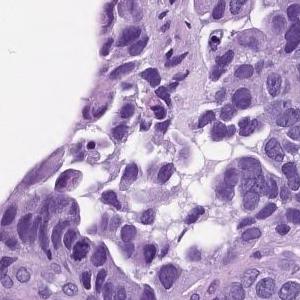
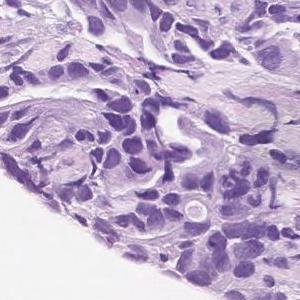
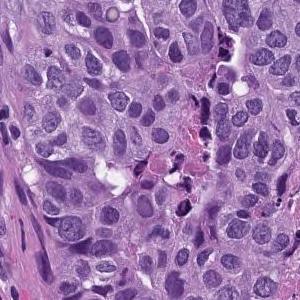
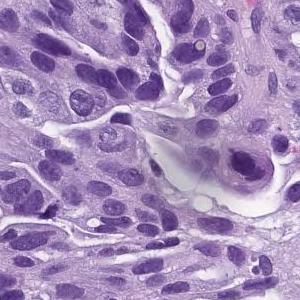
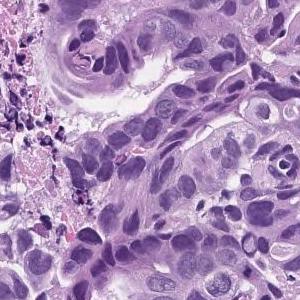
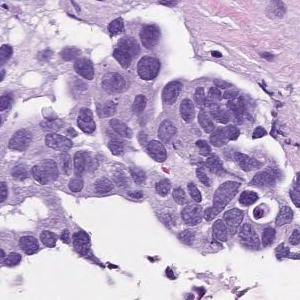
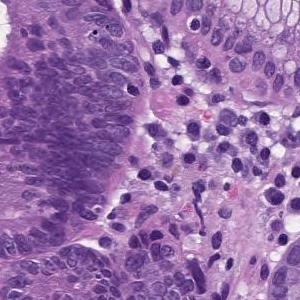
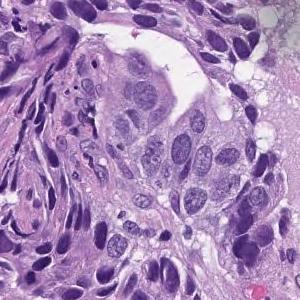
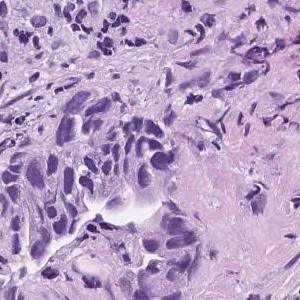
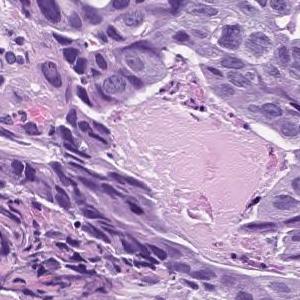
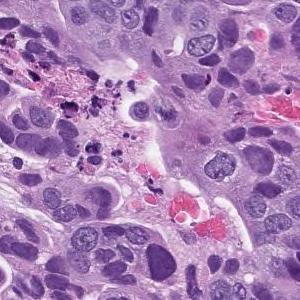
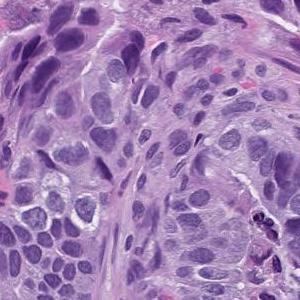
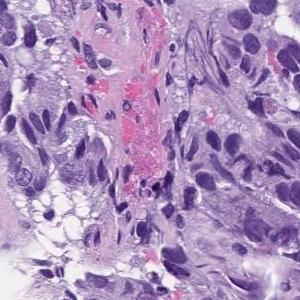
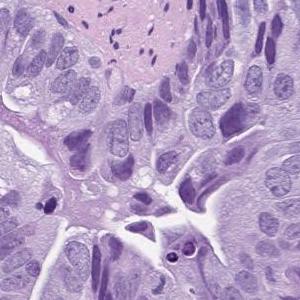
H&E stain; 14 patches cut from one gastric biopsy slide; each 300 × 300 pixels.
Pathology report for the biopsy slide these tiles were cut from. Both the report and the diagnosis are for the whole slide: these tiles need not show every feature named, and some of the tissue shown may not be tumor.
In the superficial epithelium, tumor tissue that invades by forming medium-sized to small, irregular ducts is observed. moderately differentiated tubular adenocarcinoma.
